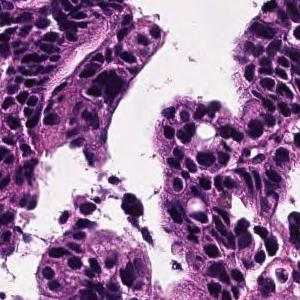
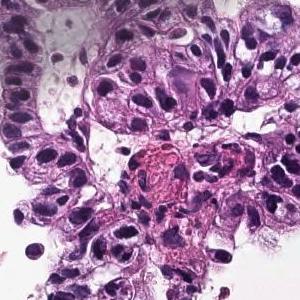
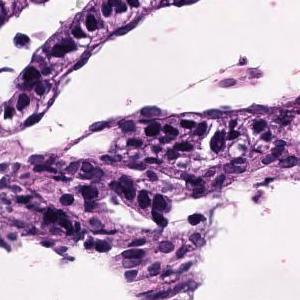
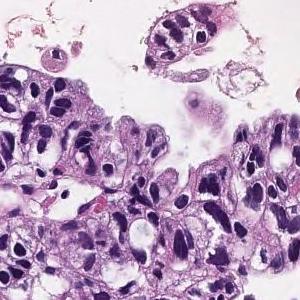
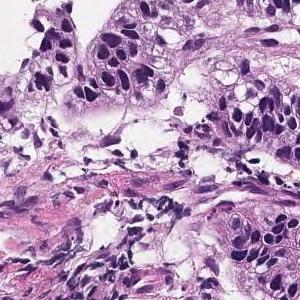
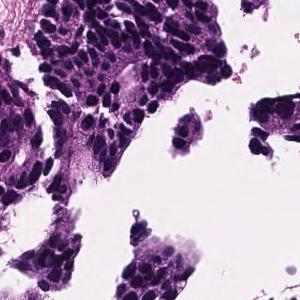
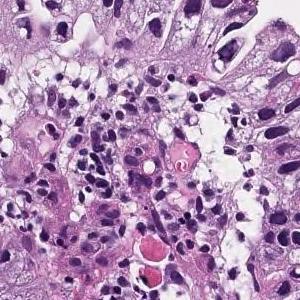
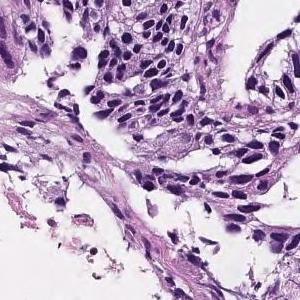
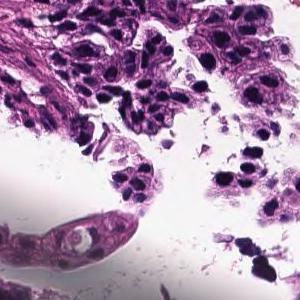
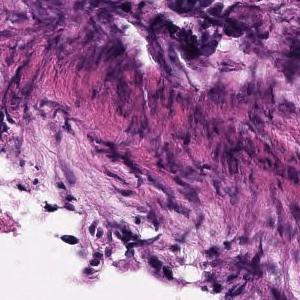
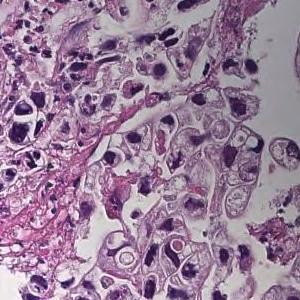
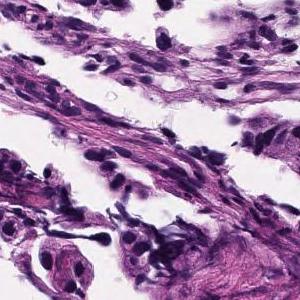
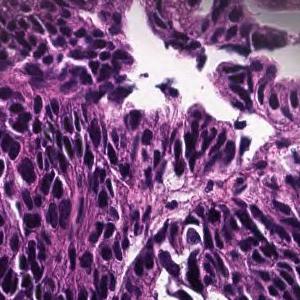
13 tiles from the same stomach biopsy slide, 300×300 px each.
Pathology report for the slide these tiles were cut from. The report and the diagnosis describe the slide as a whole, so these tiles may not show every feature named and may include non-tumor tissue.
Tumor cells are large, highly columnar, large club-shaped nuclei, and are associated with chromatin aggregation. Papillary adenocarcinoma.
